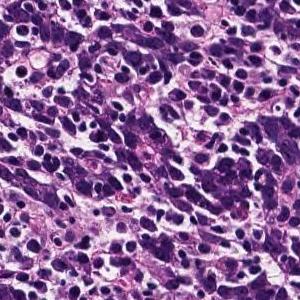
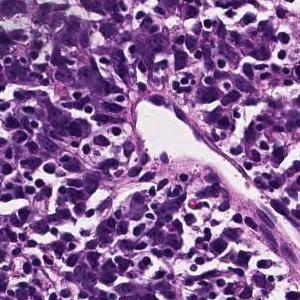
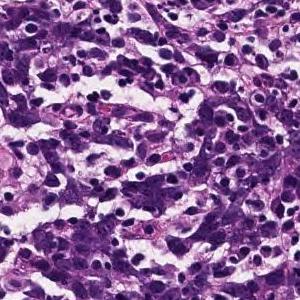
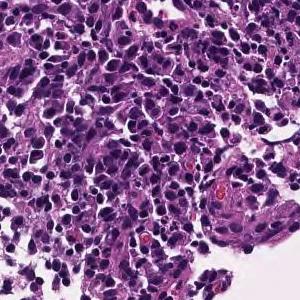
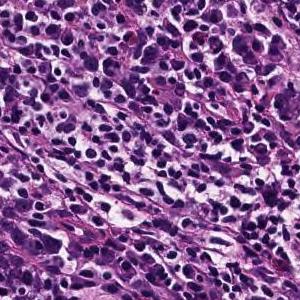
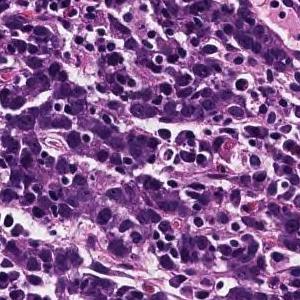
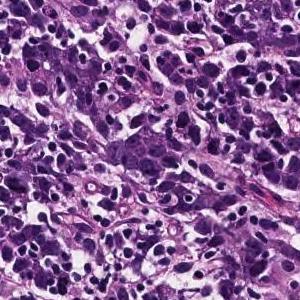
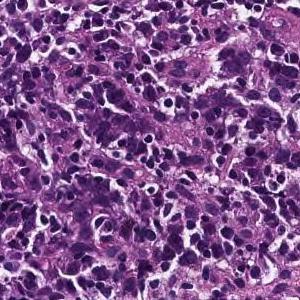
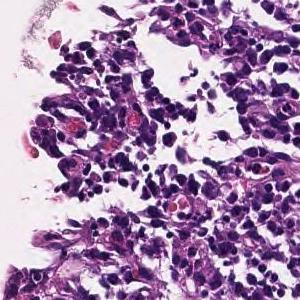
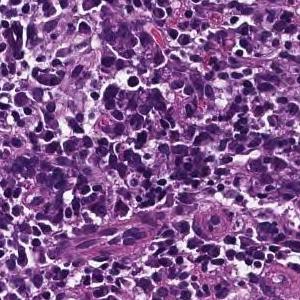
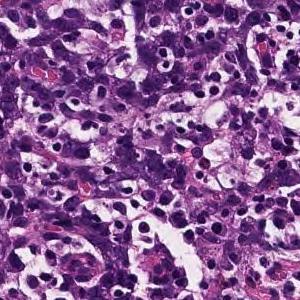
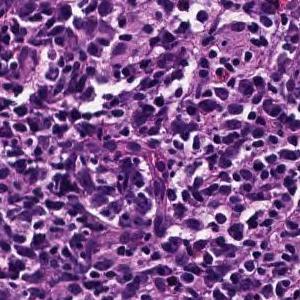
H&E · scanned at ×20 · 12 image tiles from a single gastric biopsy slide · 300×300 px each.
Pathology report for the slide these tiles were cut from. The report describes the whole slide, diagnosis included: not every finding it names need appear in these tiles, which may also show non-tumor tissue.
Tumor tissue consisting of cord-like or small, irregular glandular ducts fused and infiltrated is observed in the superficial epithelium. Poorly differentiated adenocarcinoma, non-solid type
The non-solid type named here is a Japanese Classification of Gastric Carcinoma category.
